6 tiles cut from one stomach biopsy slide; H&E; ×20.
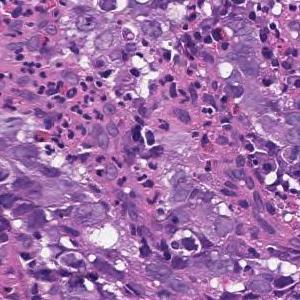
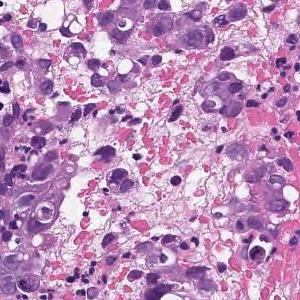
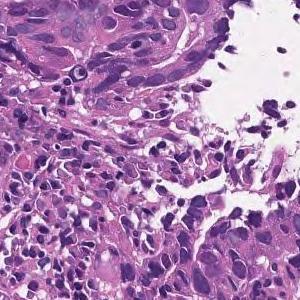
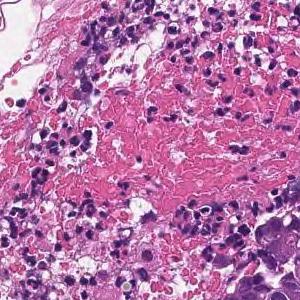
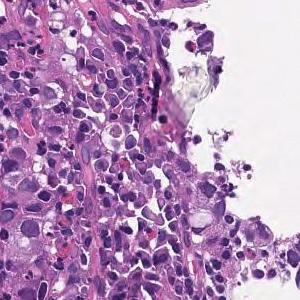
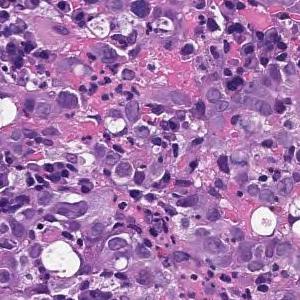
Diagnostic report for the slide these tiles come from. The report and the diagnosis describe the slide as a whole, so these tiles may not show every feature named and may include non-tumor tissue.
Tumor tissue consisting of cord-like or small, irregular glandular ducts fused and infiltrated is observed in the superficial epithelium. Poorly differentiated adenocarcinoma, non-solid type
The non-solid type named here is a Japanese Classification of Gastric Carcinoma category.
